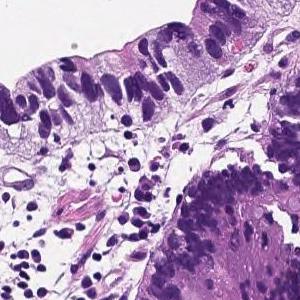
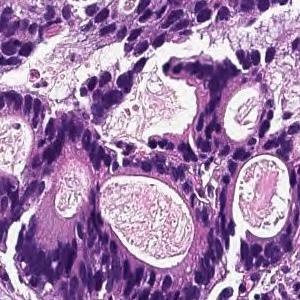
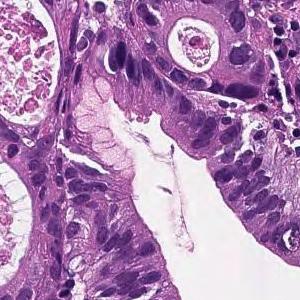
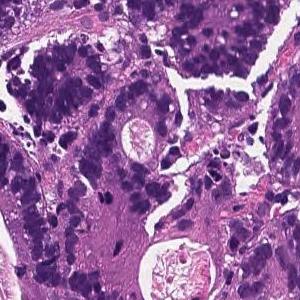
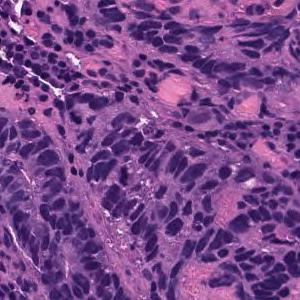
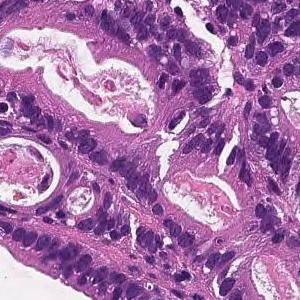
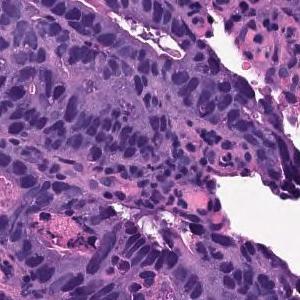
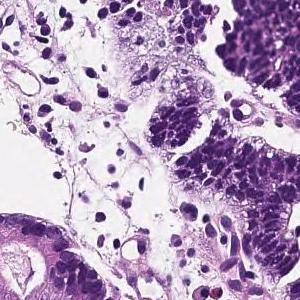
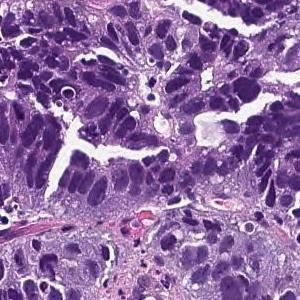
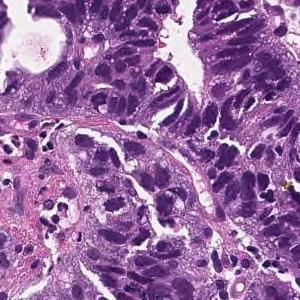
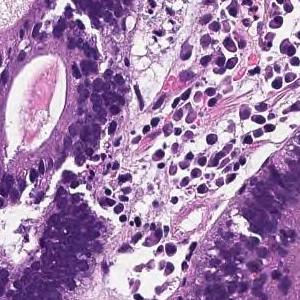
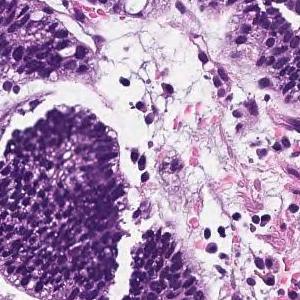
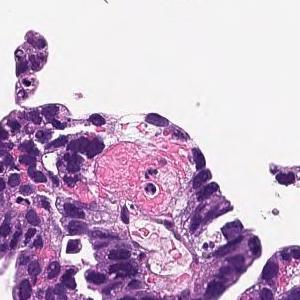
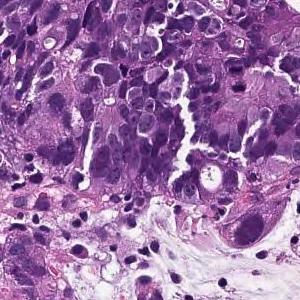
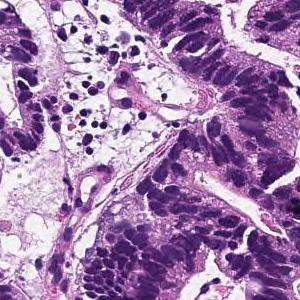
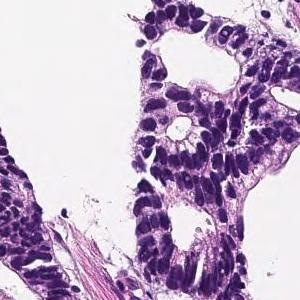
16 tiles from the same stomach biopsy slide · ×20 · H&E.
Pathology report for the biopsy slide these tiles were cut from. The report and the diagnosis describe the slide as a whole, so these tiles may not show every feature named and may include non-tumor tissue.
In the superficial epithelium, tumor tissue that invades by forming medium-sized to small, irregular ducts is observed. moderately differentiated tubular adenocarcinoma.
